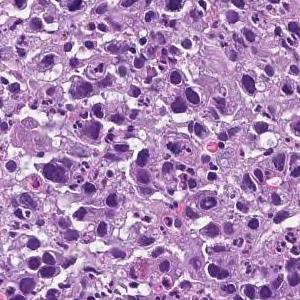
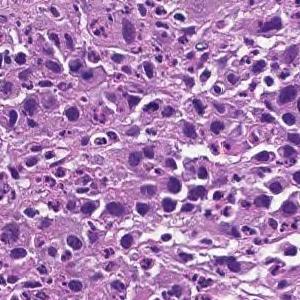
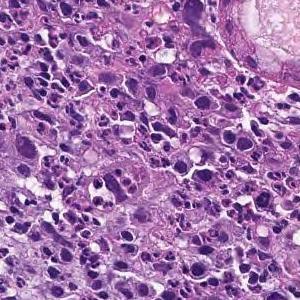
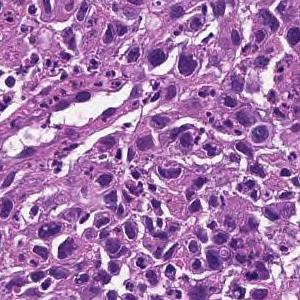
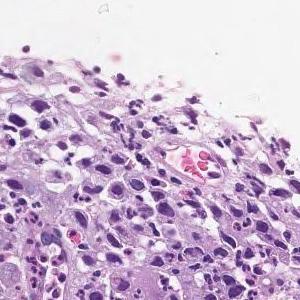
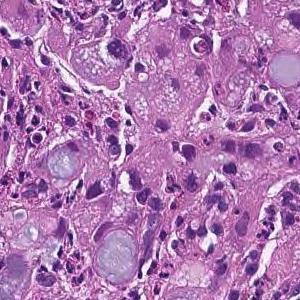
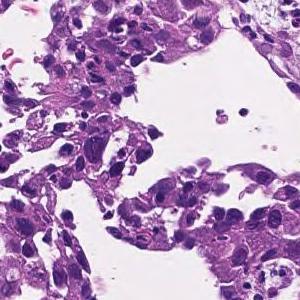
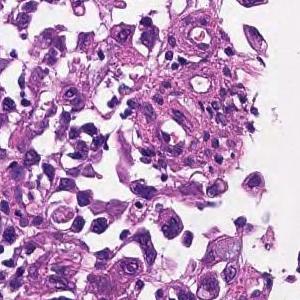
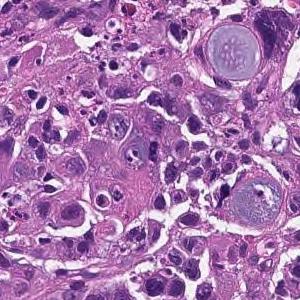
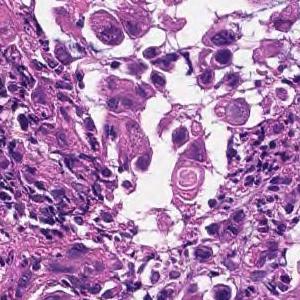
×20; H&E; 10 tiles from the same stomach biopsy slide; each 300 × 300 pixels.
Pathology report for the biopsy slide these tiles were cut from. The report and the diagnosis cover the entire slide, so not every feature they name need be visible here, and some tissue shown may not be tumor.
The superficial epithelium shows a large sheet-like shape, and some tumor tissue infiltrates with small irregular ducts. Poorly differentiated adenocarcinoma, solid-type
Histological subtype: Poorly differentiated adenocarcinoma, solid type. This name comes from the Japanese Classification of Gastric Carcinoma; the WHO 2019 classification calls it tubular adenocarcinoma, poorly differentiated.
